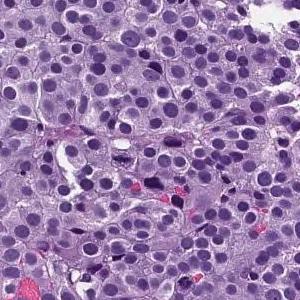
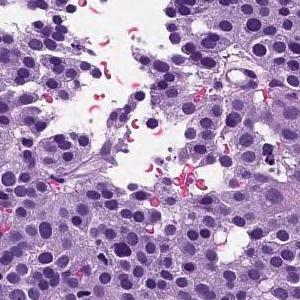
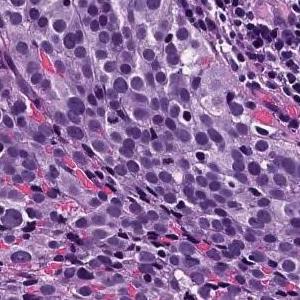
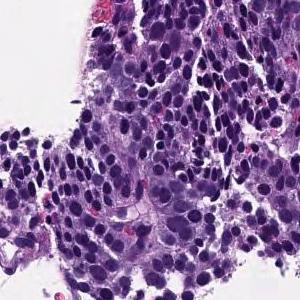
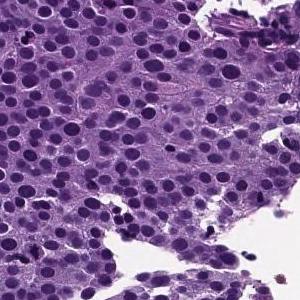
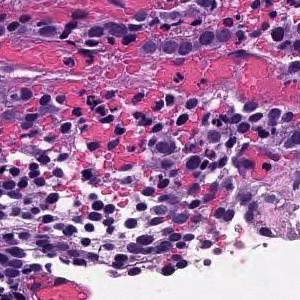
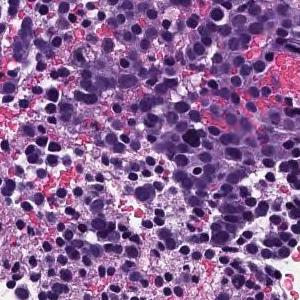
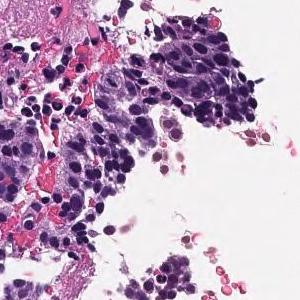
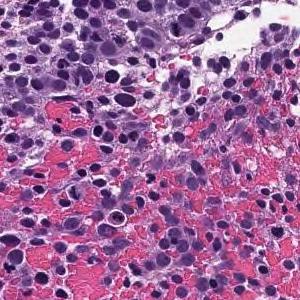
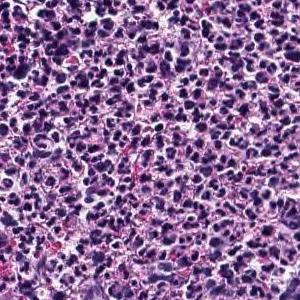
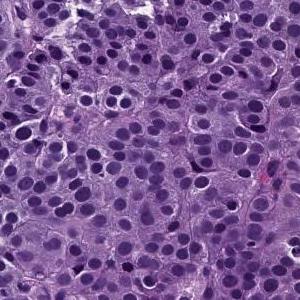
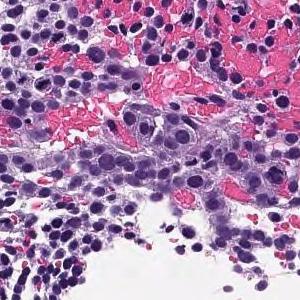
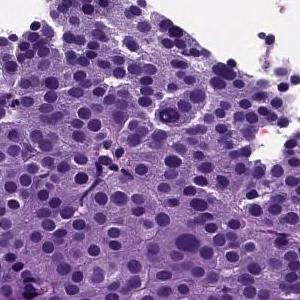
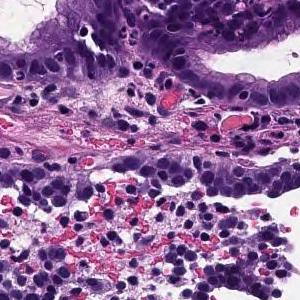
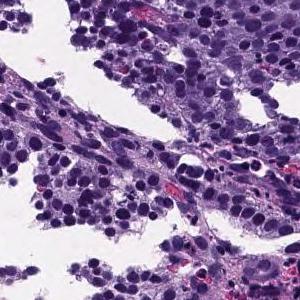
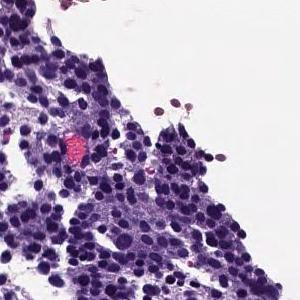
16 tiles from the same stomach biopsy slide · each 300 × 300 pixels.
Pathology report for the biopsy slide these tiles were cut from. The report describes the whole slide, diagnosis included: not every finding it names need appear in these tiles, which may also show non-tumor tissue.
The superficial epithelium shows a large sheet-like shape, and some tumor tissue infiltrates with small irregular ducts. Poorly differentiated adenocarcinoma, solid-type
Subtype: Poorly differentiated adenocarcinoma, solid type, a category of the Japanese Classification of Gastric Carcinoma; in the WHO 2019 classification it is tubular adenocarcinoma, poorly differentiated.
